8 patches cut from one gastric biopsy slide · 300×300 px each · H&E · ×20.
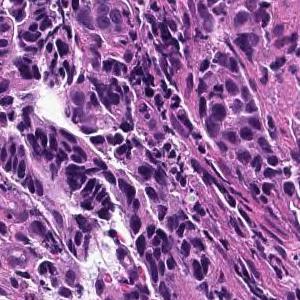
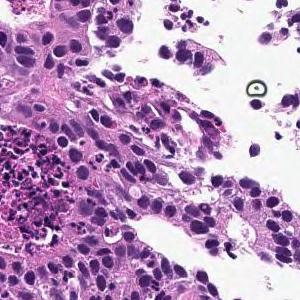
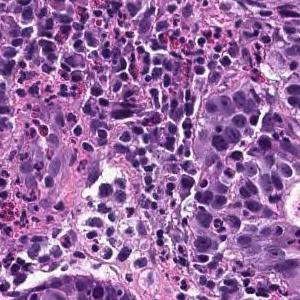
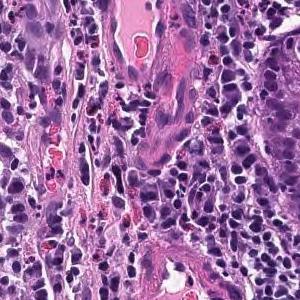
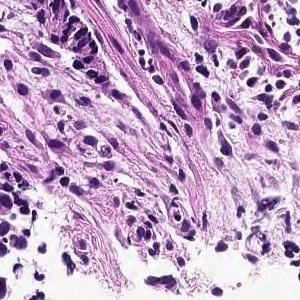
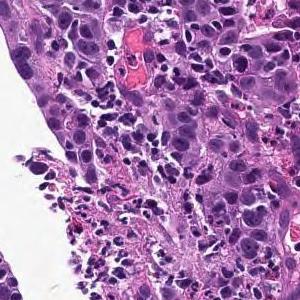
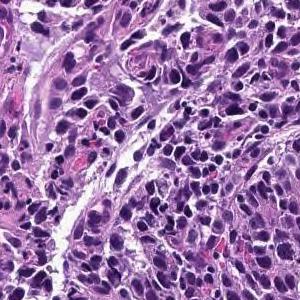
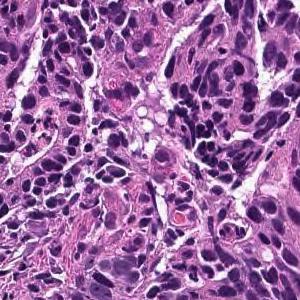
Pathology report for the slide these tiles were cut from. Both the report and the diagnosis are for the whole slide: these tiles need not show every feature named, and some of the tissue shown may not be tumor.
In the superficial epithelium, tumor tissue that invades by forming medium-sized to small, irregular ducts is observed. moderately differentiated tubular adenocarcinoma.
